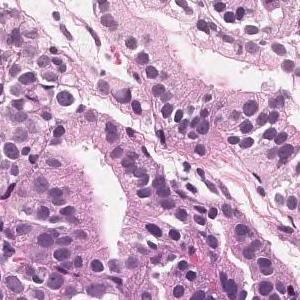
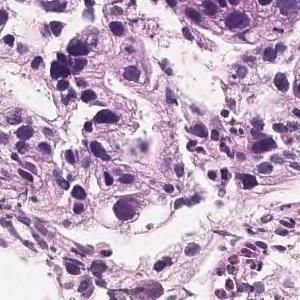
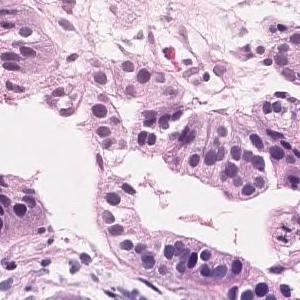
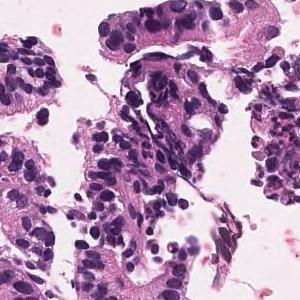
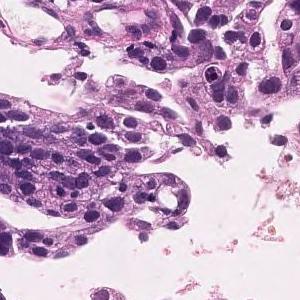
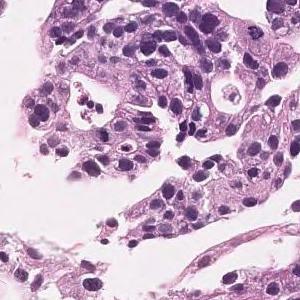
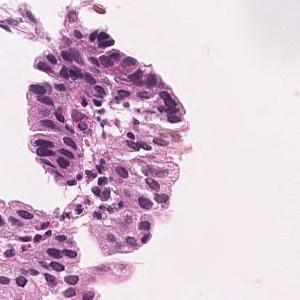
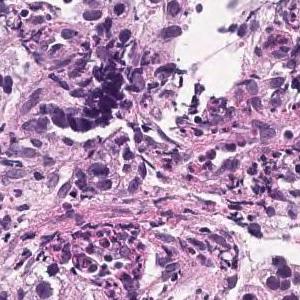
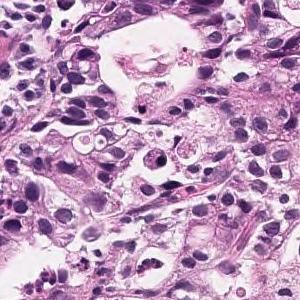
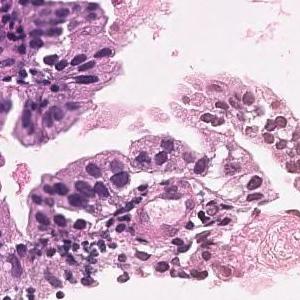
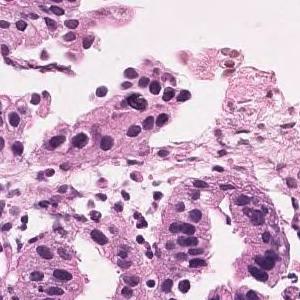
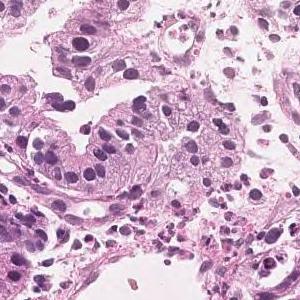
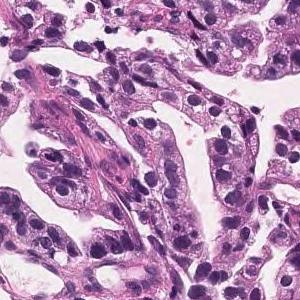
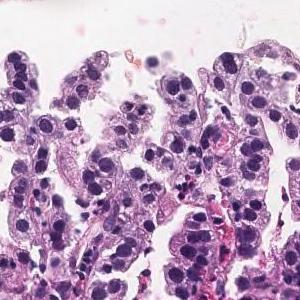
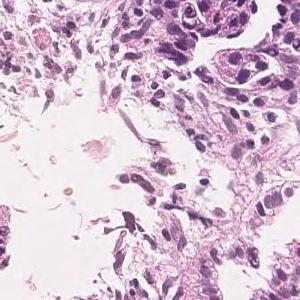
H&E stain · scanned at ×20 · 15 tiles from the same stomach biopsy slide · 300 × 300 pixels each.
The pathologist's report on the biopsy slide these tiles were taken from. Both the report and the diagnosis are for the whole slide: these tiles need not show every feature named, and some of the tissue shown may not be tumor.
In the superficial epithelium, tumor tissue that invades by forming medium-sized to small, irregular ducts is observed. moderately differentiated tubular adenocarcinoma.
